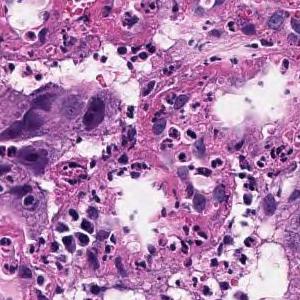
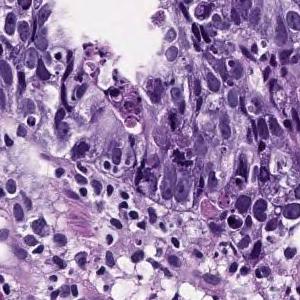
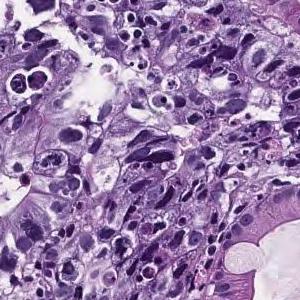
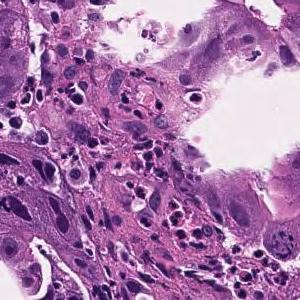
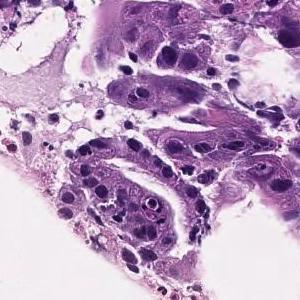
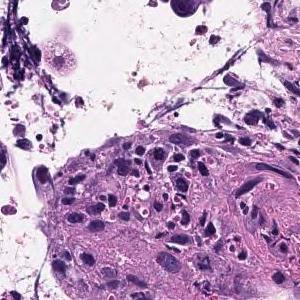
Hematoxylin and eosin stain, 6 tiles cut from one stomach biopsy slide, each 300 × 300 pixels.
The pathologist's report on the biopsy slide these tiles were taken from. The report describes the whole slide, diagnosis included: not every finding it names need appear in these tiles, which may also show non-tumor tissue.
In the superficial epithelium, medium to small irregular gland ducts are formed, and in some cases, the ducts are fused to show solid alveolar lesions and infiltrating tumor tissue is observed. Moderately to poorly differentiated adenocarcinoma
